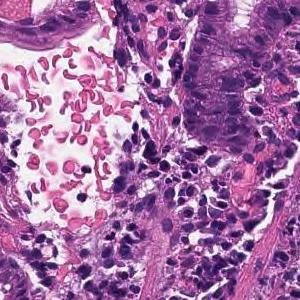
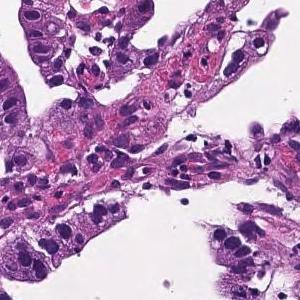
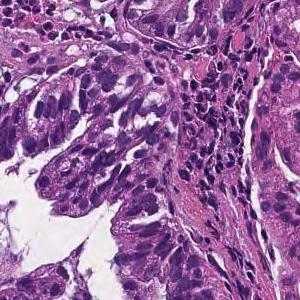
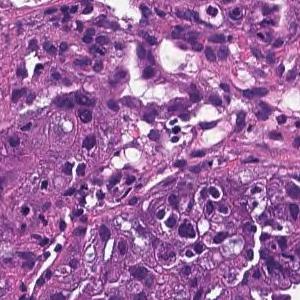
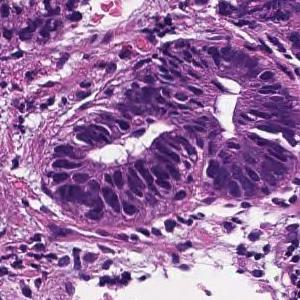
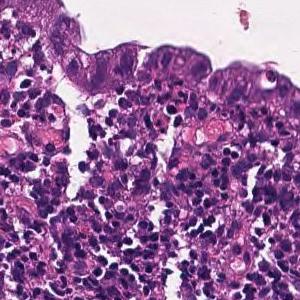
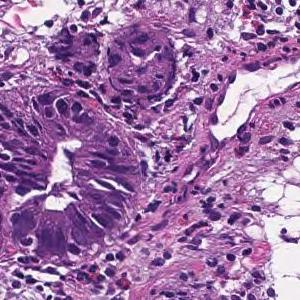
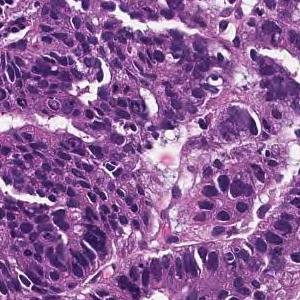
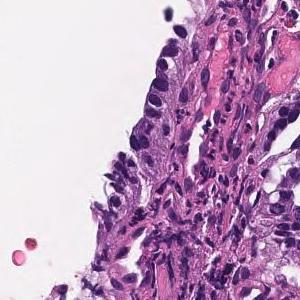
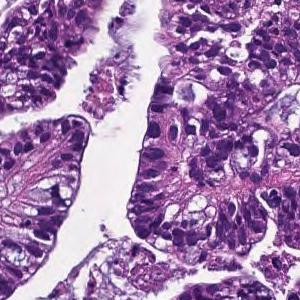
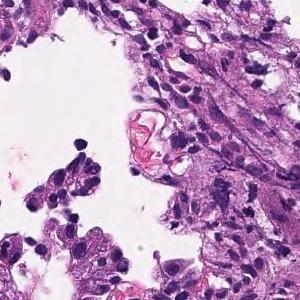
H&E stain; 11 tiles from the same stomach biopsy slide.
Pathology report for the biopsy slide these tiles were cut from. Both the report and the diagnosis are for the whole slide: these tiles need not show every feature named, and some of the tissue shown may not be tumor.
From the superficial epithelium to the muscularis mucosae, tumor tissue consisting of medium-sized and irregular glandular ducts infiltrating is observed. Well differentiated tubular adenocarcinoma
